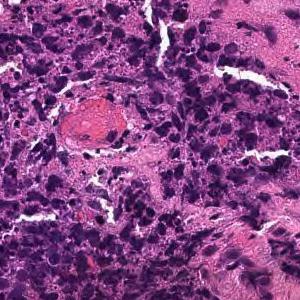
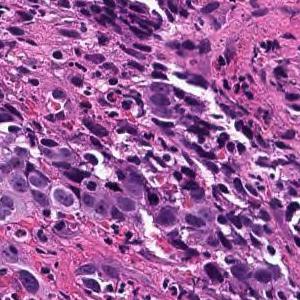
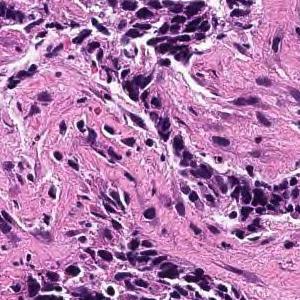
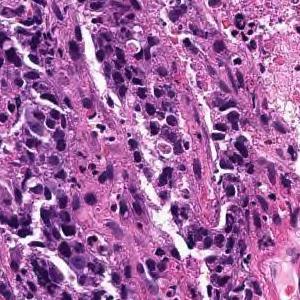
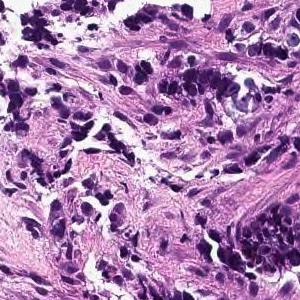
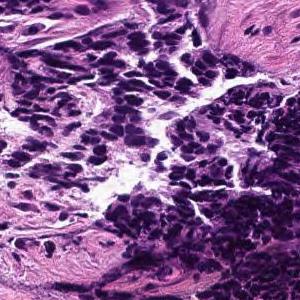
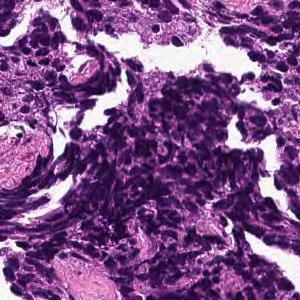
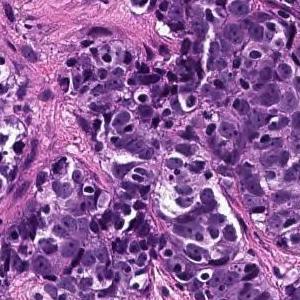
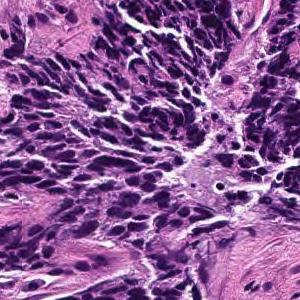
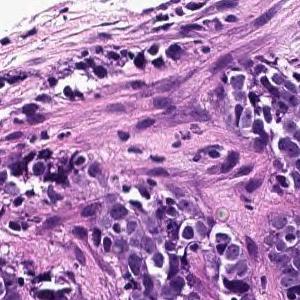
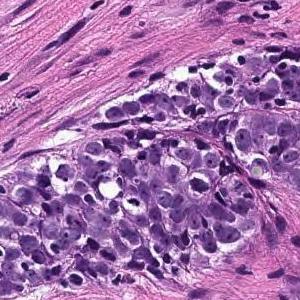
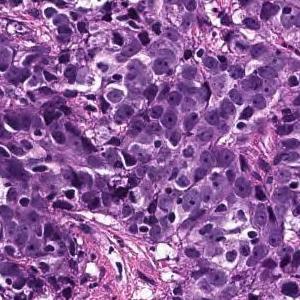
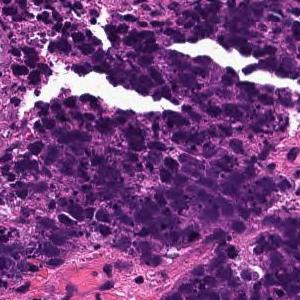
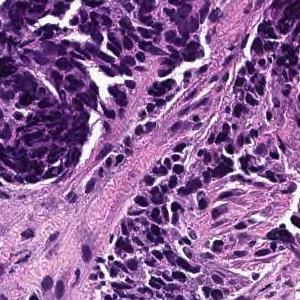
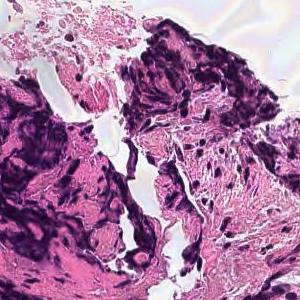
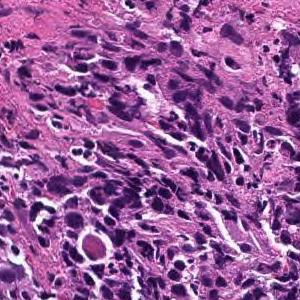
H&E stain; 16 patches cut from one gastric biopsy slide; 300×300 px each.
Pathology report for the biopsy slide these tiles were cut from. The findings and the diagnosis refer to the entire slide; these tiles show only part of it, possibly with non-tumor tissue, and may not show every feature named.
The superficial epithelium shows a large sheet or alveolar shape, and tumor tissue infiltrating without irregular ducts is observed. Poorly differentiated adenocarcinoma, solid-type
Histological subtype: Poorly differentiated adenocarcinoma, solid type (Japanese Classification of Gastric Carcinoma). The WHO 2019 equivalent is tubular adenocarcinoma, poorly differentiated.
